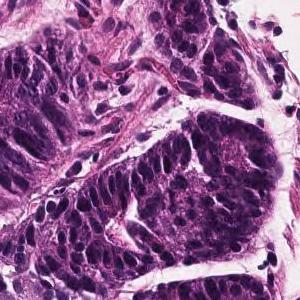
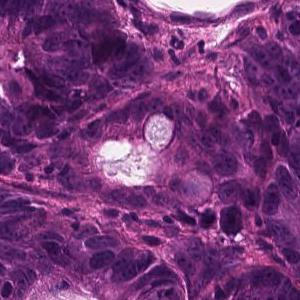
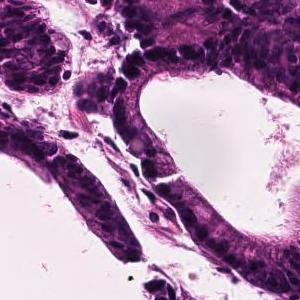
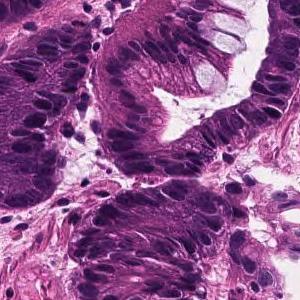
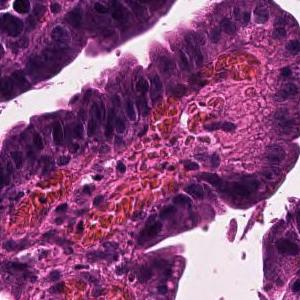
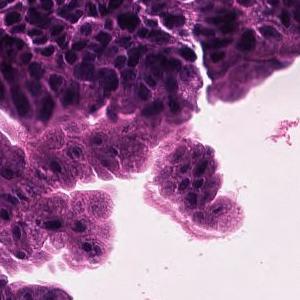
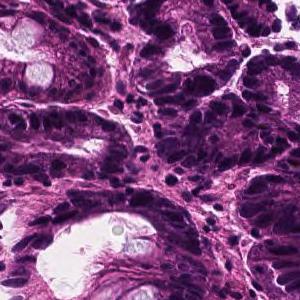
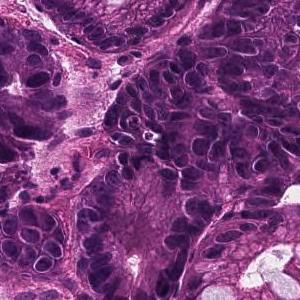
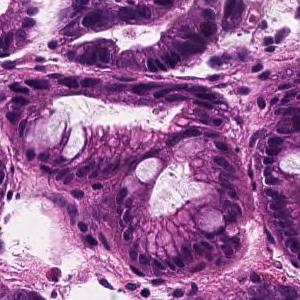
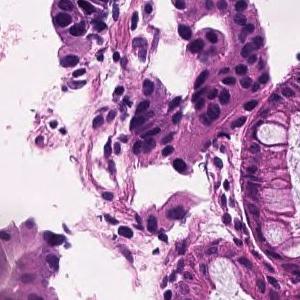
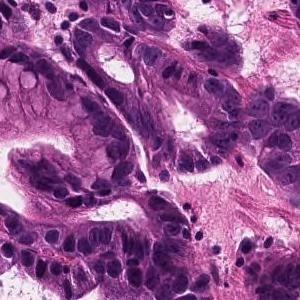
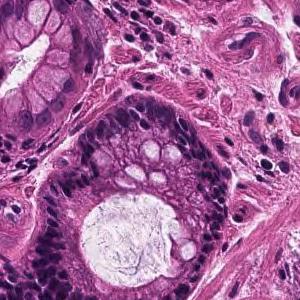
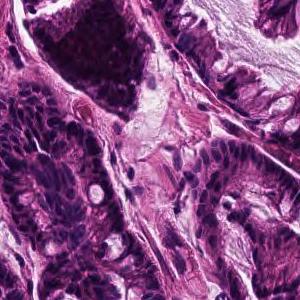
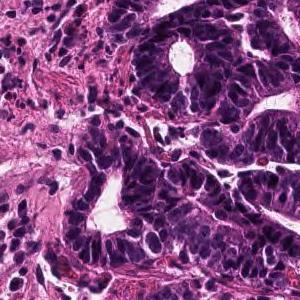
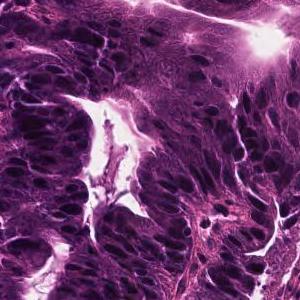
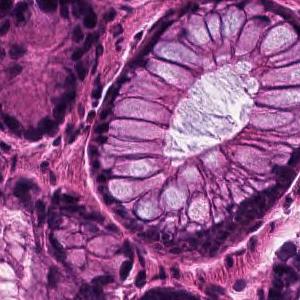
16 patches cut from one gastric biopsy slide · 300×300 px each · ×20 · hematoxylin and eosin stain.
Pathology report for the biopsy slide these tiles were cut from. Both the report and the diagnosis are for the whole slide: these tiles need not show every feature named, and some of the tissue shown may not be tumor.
In the superficial epithelium, tumor tissue that invades by forming medium-sized to small, irregular ducts is observed. Well differentiated tubular adenocarcinoma.
